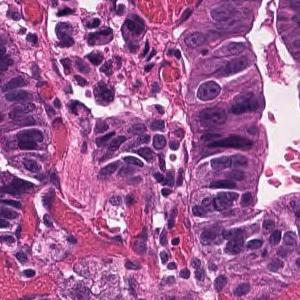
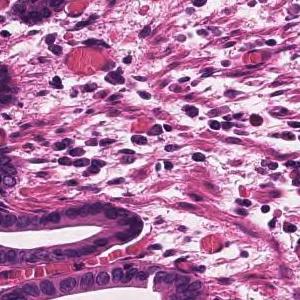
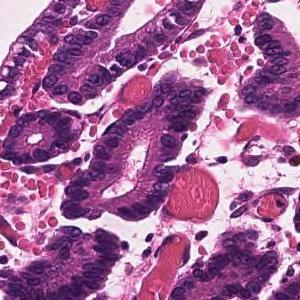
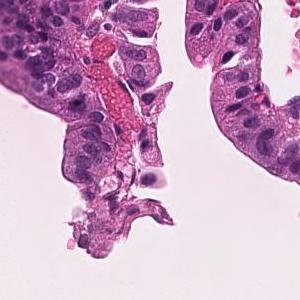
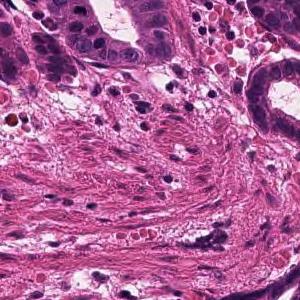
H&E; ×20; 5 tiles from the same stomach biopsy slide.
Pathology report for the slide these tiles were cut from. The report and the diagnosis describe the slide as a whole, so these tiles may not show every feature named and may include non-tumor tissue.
Infiltrating tumor tissue with medium-sized, irregular ductal structure or large papillary appearance is observed. Well differentiated tubular adenocarcinoma
